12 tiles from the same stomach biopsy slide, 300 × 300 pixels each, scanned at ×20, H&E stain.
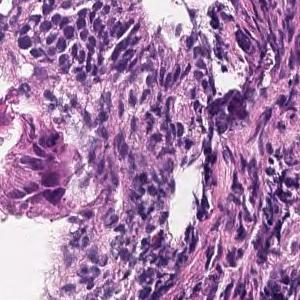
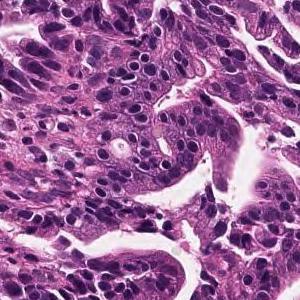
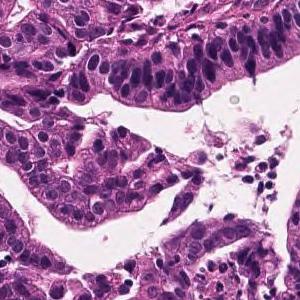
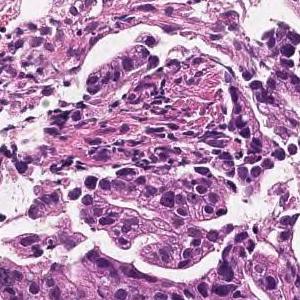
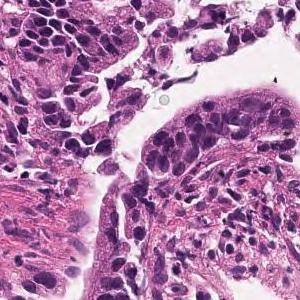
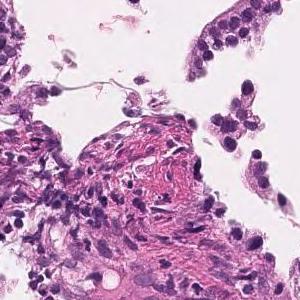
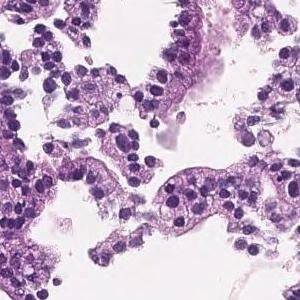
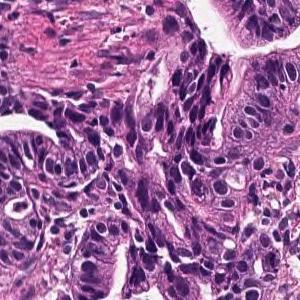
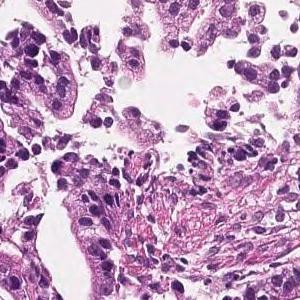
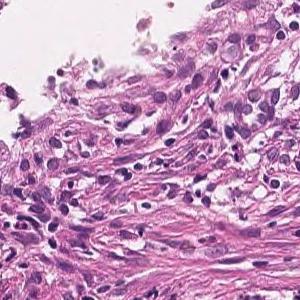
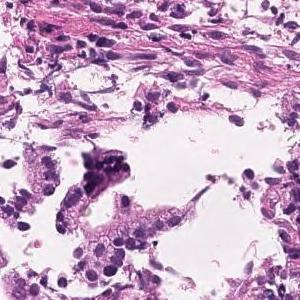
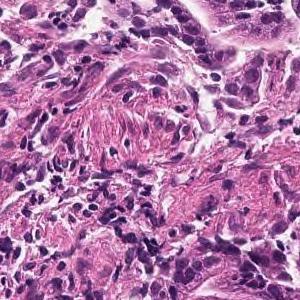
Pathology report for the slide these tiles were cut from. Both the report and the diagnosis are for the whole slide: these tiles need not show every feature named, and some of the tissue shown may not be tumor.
Tumor cells are large, highly columnar, large club-shaped nuclei, and are associated with chromatin aggregation. Papillary adenocarcinoma.
